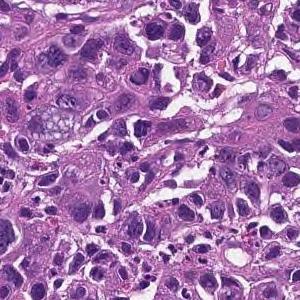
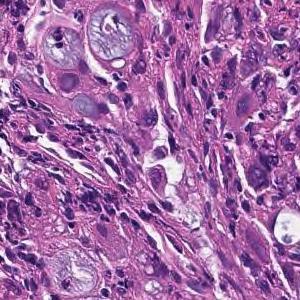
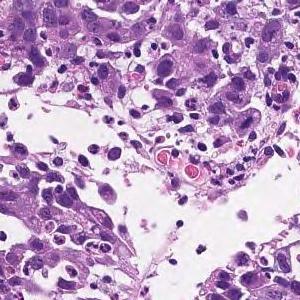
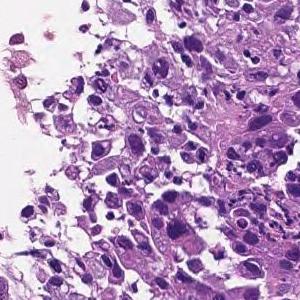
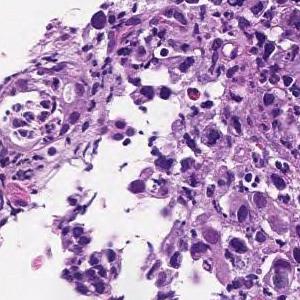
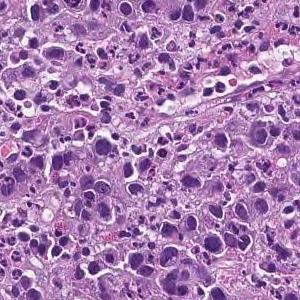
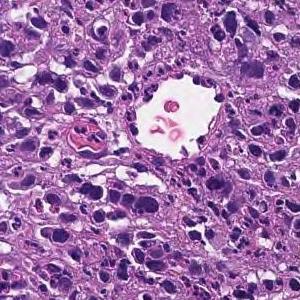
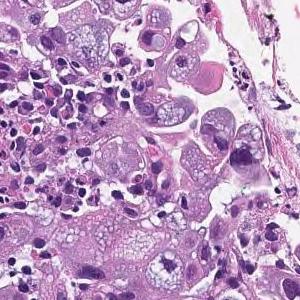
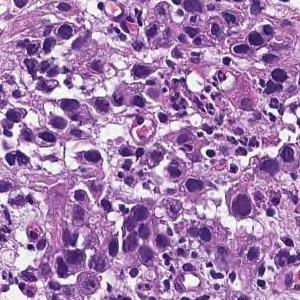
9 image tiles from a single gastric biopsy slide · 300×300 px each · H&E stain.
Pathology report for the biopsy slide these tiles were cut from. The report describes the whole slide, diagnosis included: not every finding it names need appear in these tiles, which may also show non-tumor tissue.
The superficial epithelium shows a large sheet-like shape, and some tumor tissue infiltrates with small irregular ducts. Poorly differentiated adenocarcinoma, solid-type
Classified as poorly differentiated adenocarcinoma, solid type (Japanese Classification of Gastric Carcinoma). The WHO 2019 equivalent is tubular adenocarcinoma, poorly differentiated.
